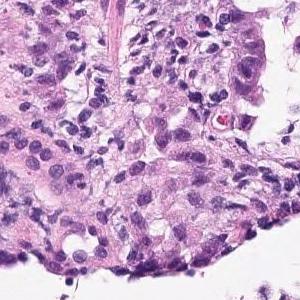
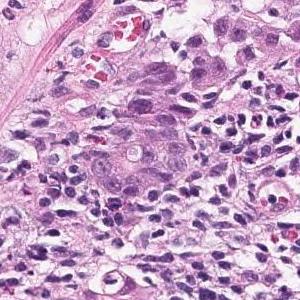
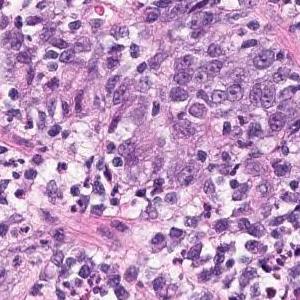
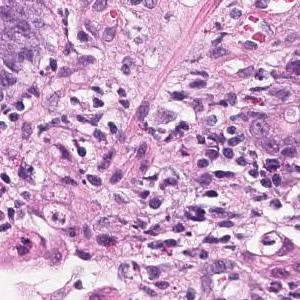
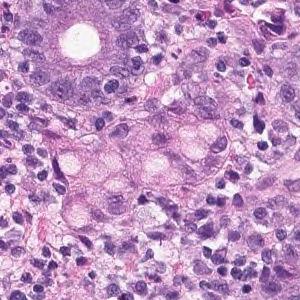
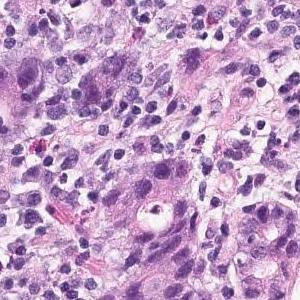
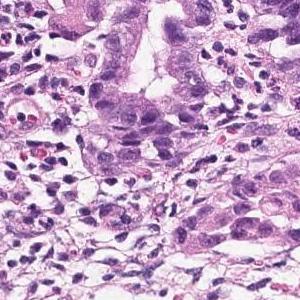
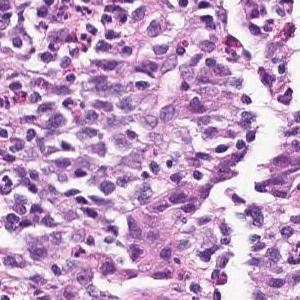
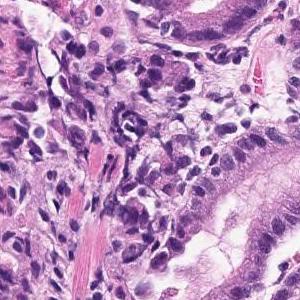
×20; H&E; 9 image tiles from a single gastric biopsy slide.
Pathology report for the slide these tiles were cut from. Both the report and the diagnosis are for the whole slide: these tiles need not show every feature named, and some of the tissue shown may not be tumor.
Medium to small atypical epithelial cells that become cord-like or irregularly agglomerated and infiltrate. Poorly differentiated adenocarcinoma
Histological subtype: Poorly differentiated adenocarcinoma, solid type. This name comes from the Japanese Classification of Gastric Carcinoma; the WHO 2019 classification calls it tubular adenocarcinoma, poorly differentiated.
